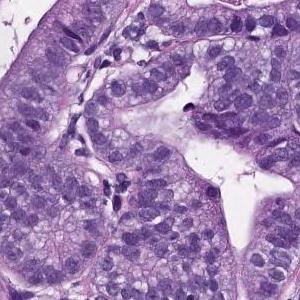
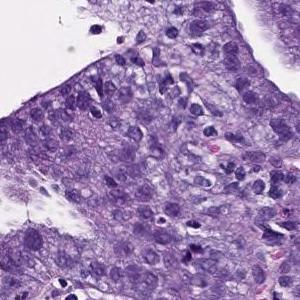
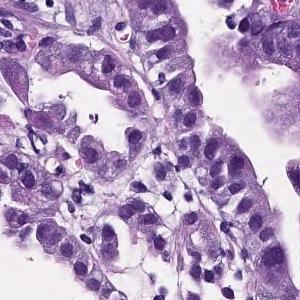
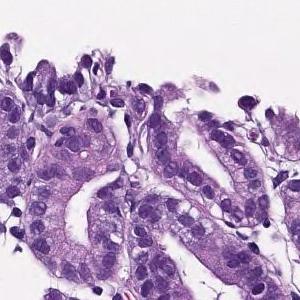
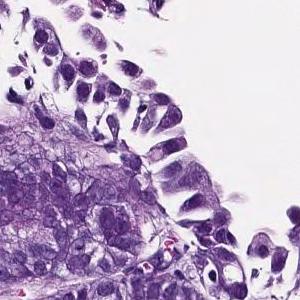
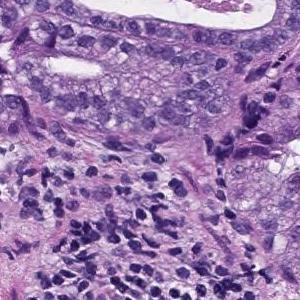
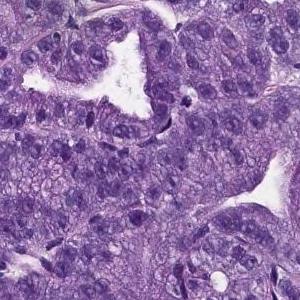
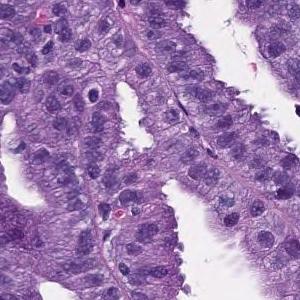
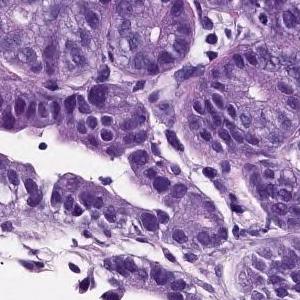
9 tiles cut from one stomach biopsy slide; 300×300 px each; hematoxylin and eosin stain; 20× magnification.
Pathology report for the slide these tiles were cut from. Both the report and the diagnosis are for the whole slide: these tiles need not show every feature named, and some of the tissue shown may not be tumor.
On the superficial epithelium, tumor tissue that infiltrates by forming medium-sized papillary or small irregular ducts is observed. Papillary adenocarcinoma
